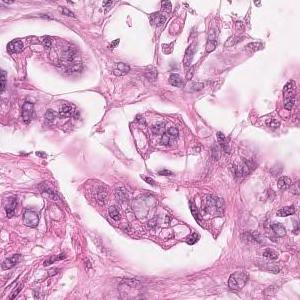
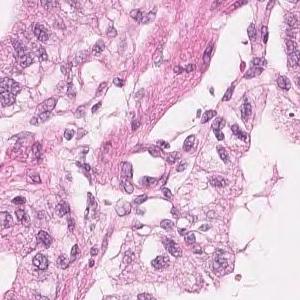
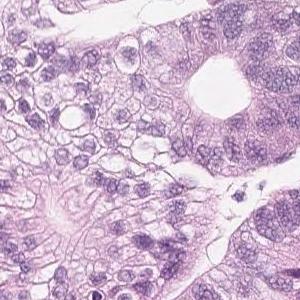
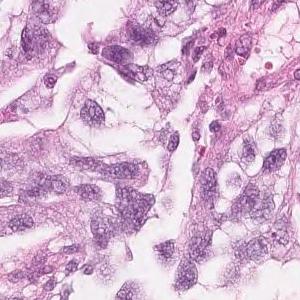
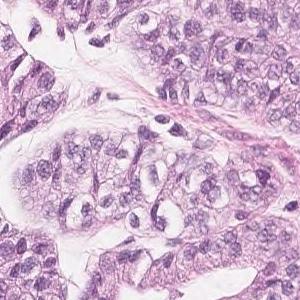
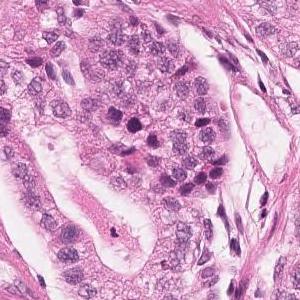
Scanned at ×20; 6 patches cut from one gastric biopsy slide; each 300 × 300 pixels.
Pathology report for the biopsy slide these tiles were cut from. The report and the diagnosis describe the slide as a whole, so these tiles may not show every feature named and may include non-tumor tissue.
Highly columnar epithelium with disordered nuclear localization proliferates showing fusion ductal construction. moderately differentiated tubular adenocarcinoma
